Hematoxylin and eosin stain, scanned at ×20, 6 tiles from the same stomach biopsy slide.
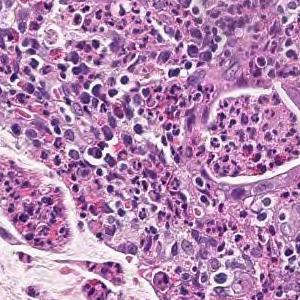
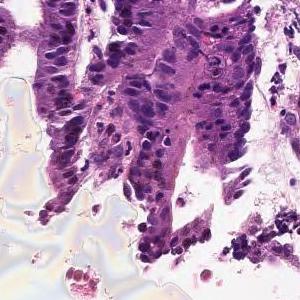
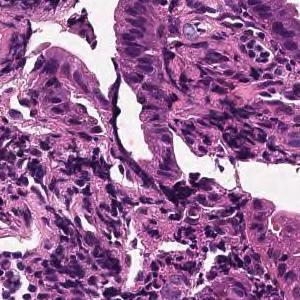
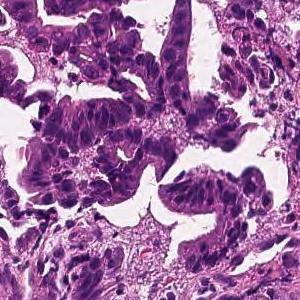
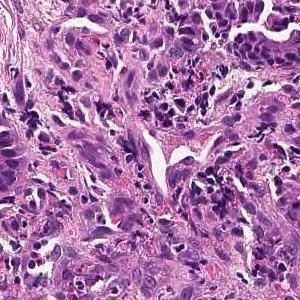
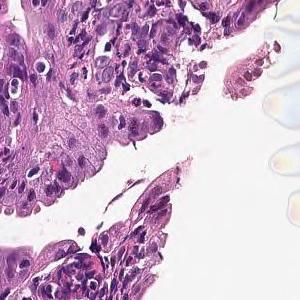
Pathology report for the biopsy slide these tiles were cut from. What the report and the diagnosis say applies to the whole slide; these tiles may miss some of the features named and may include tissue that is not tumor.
From the superficial epithelium to the muscularis mucosae, tumor tissue consisting of medium-sized and irregular glandular ducts infiltrating is observed. Well differentiated tubular adenocarcinoma
